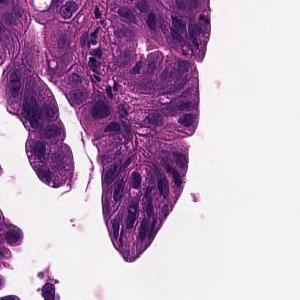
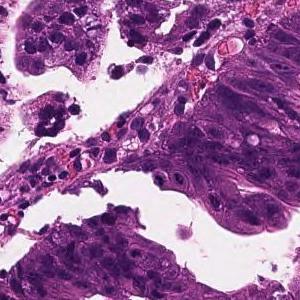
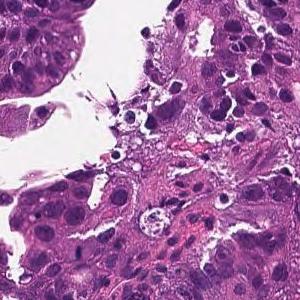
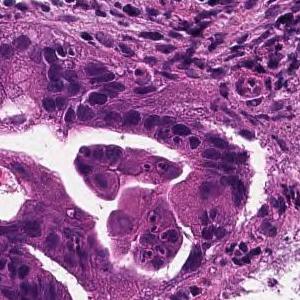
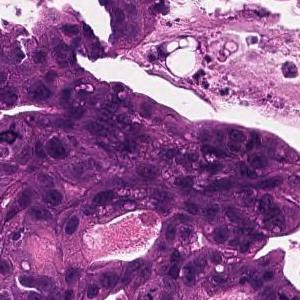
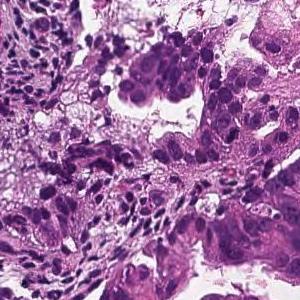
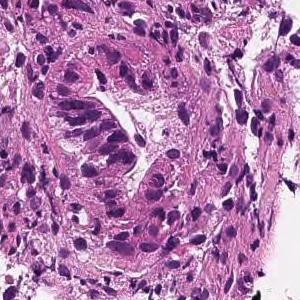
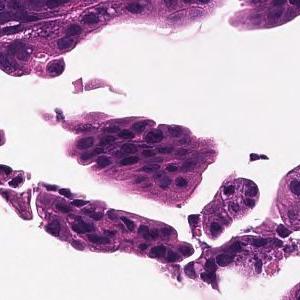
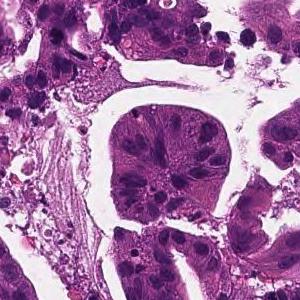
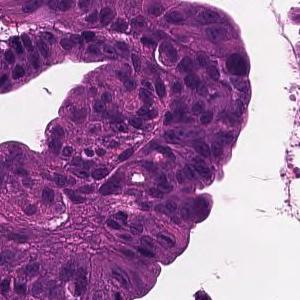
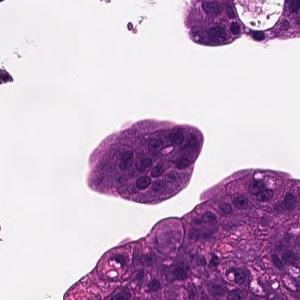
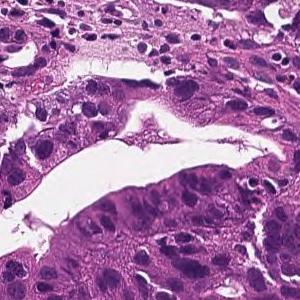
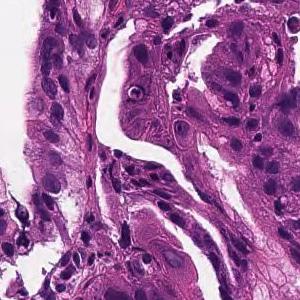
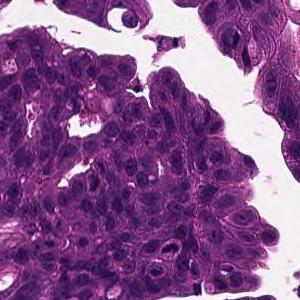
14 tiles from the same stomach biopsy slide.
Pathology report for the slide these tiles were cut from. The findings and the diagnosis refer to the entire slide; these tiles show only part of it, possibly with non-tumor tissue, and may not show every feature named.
On the superficial epithelium, tumor tissue is found in which medium-sized irregular gland ducts fuse with each other and infiltrate. moderately differentiated tubular adenocarcinoma
